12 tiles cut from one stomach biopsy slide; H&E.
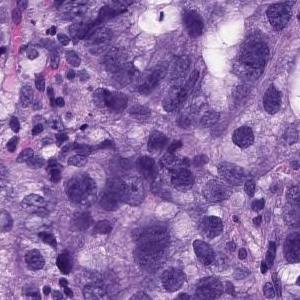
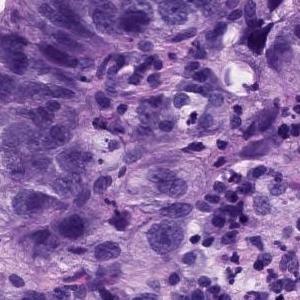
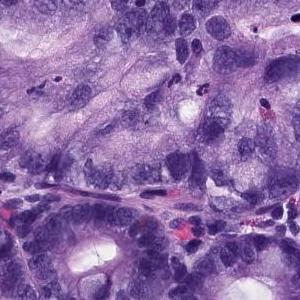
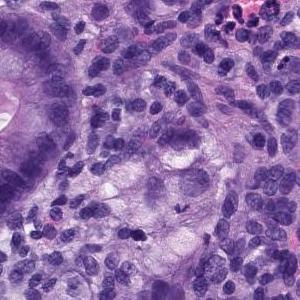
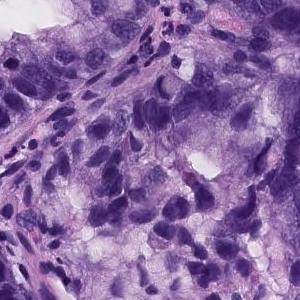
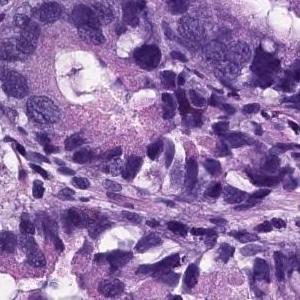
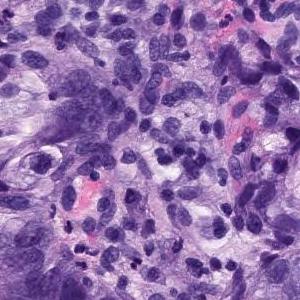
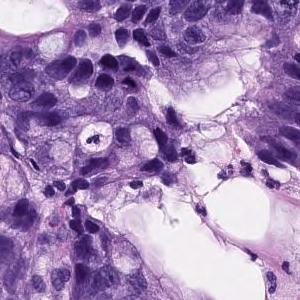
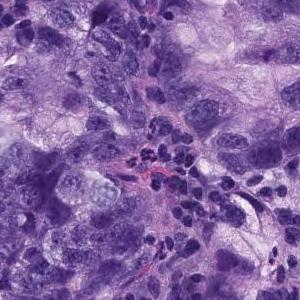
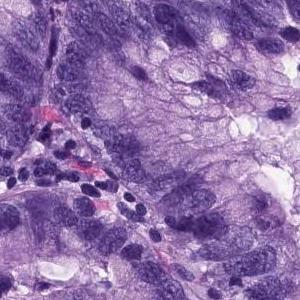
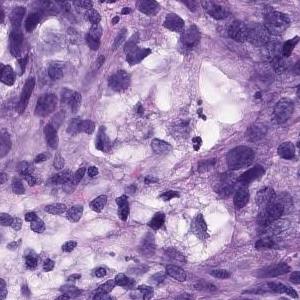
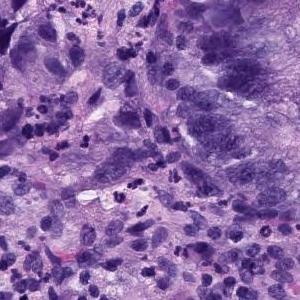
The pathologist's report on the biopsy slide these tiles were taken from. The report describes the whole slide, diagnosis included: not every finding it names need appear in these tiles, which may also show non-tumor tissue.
There are large atypical epithelial cells infiltrating and proliferating while forming atypical glandular cavities showing a fusion tendency. Moderately differentiated tubular adenocarcinoma.
